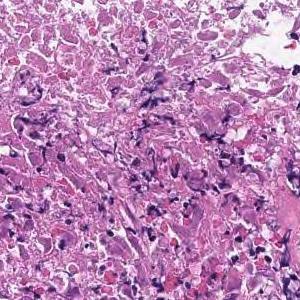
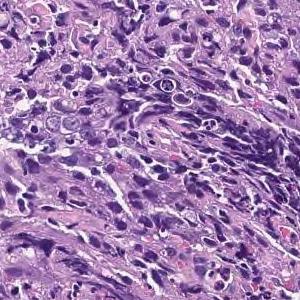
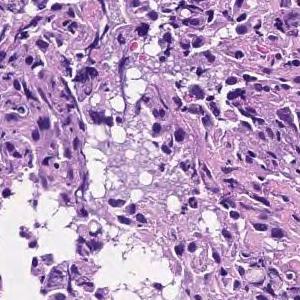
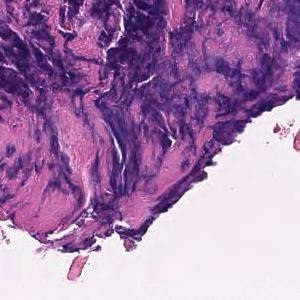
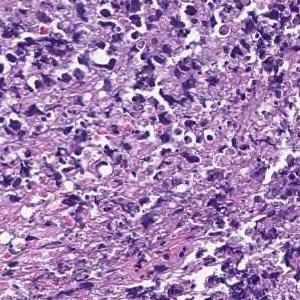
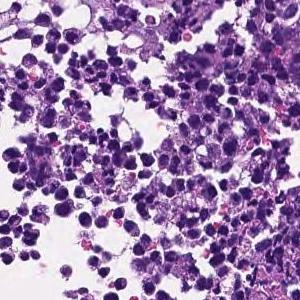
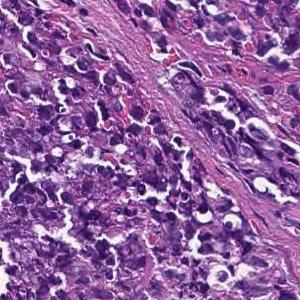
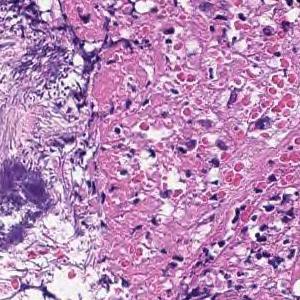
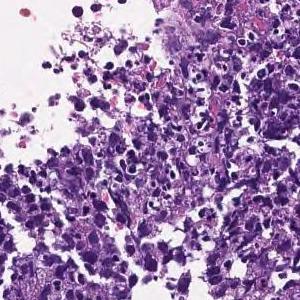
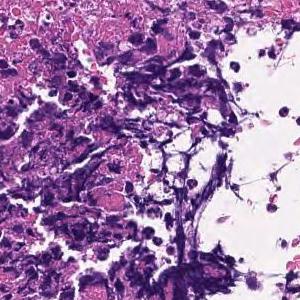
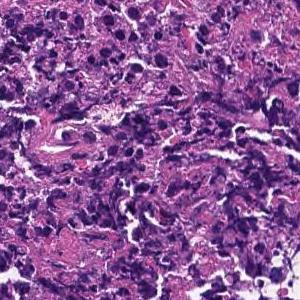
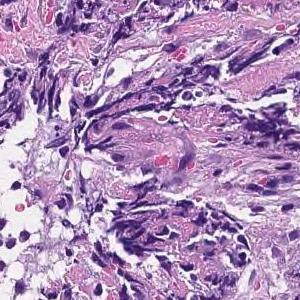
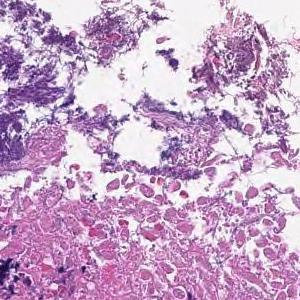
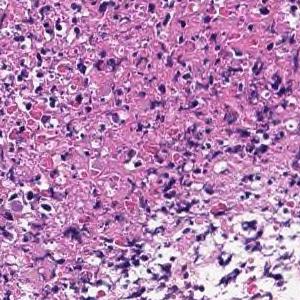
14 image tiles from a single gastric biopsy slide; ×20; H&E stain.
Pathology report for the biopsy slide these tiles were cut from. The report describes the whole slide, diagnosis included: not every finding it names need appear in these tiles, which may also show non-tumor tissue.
Most are composed of coagulative necrotic tissue, but some show a large sheet-like shape, and some show tumor tissue infiltrating with a small cord-like structure. Poorly differentiated adenocarcinoma, solid-type
Histological subtype: Poorly differentiated adenocarcinoma, solid type, a category of the Japanese Classification of Gastric Carcinoma; in the WHO 2019 classification it is tubular adenocarcinoma, poorly differentiated.
